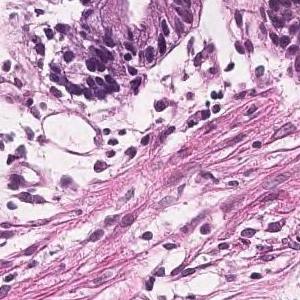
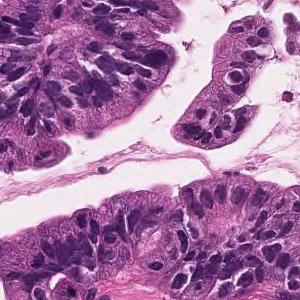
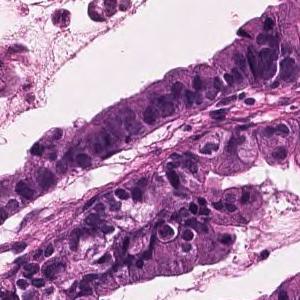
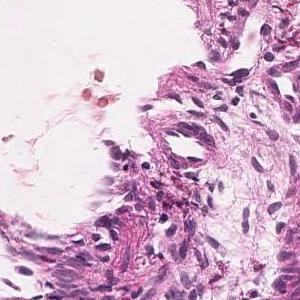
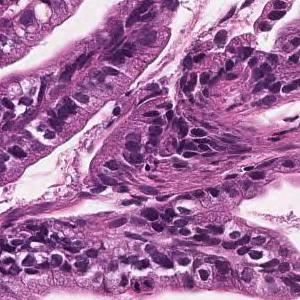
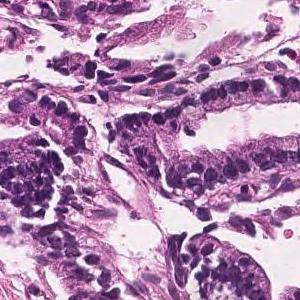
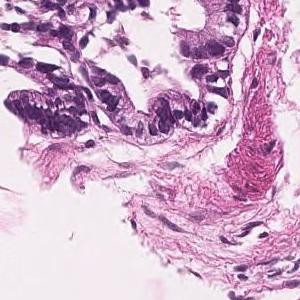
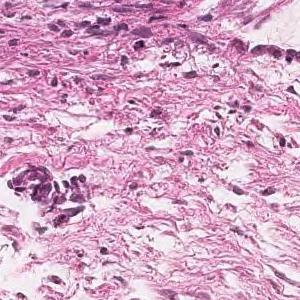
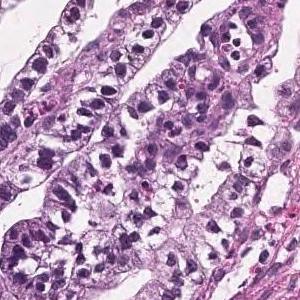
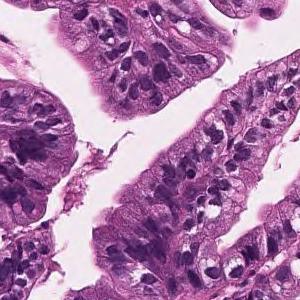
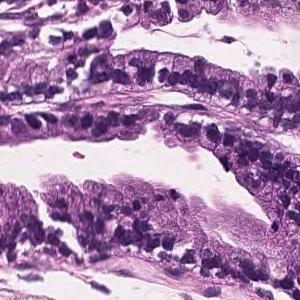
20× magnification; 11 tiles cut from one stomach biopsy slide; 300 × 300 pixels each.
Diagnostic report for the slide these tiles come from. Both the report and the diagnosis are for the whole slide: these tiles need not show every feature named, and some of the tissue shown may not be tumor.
Tumor cells are large, highly columnar, large club-shaped nuclei, and are associated with chromatin aggregation. Papillary adenocarcinoma.
